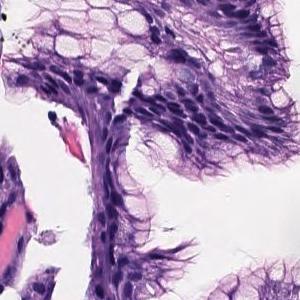
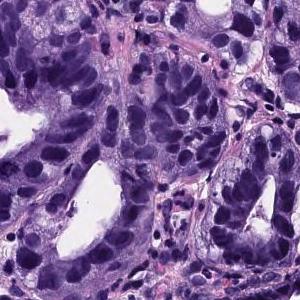
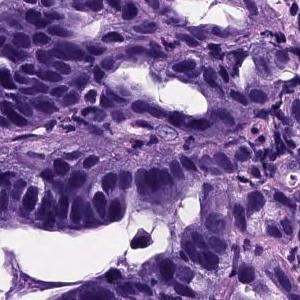
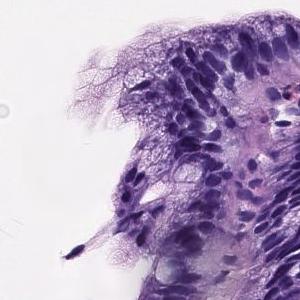
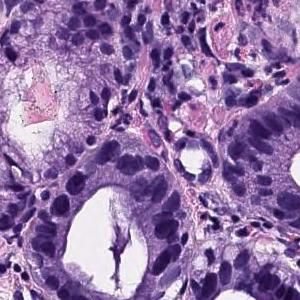
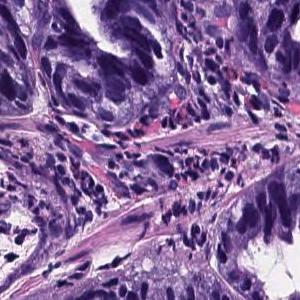
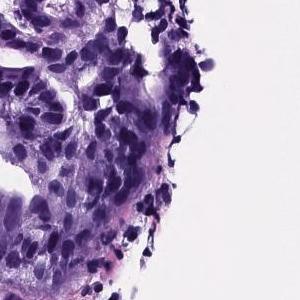
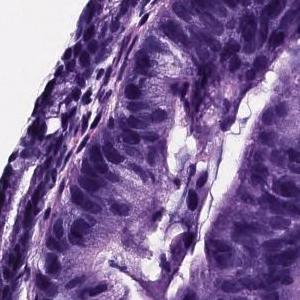
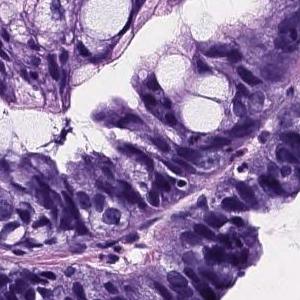
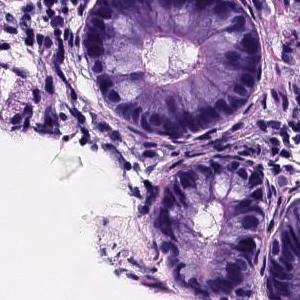
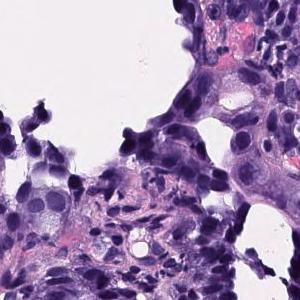
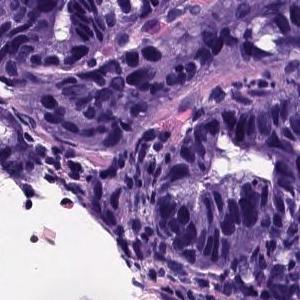
Hematoxylin and eosin stain · 12 tiles from the same stomach biopsy slide · each 300 × 300 pixels.
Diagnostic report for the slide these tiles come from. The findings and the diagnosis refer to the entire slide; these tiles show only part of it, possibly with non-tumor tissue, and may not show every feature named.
Large atypical cells which form medium to large ducts are proliferating. Well differentiated adenocarcinoma (well differentiated tubular adenocarcinoma)
Subtype: Well differentiated tubular adenocarcinoma.
